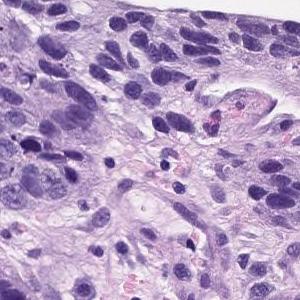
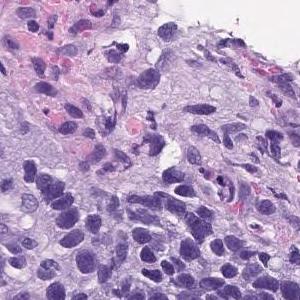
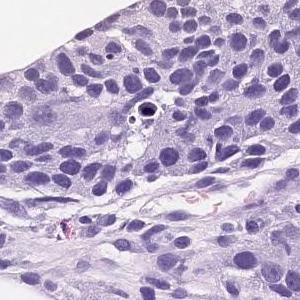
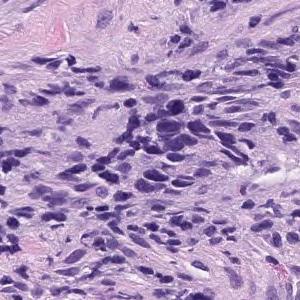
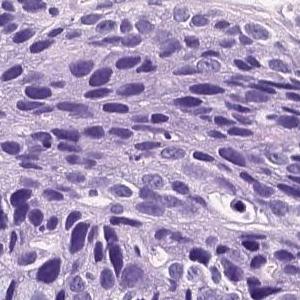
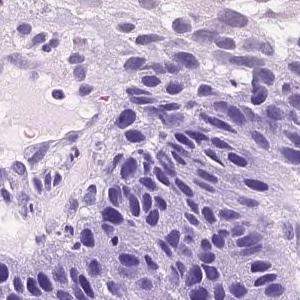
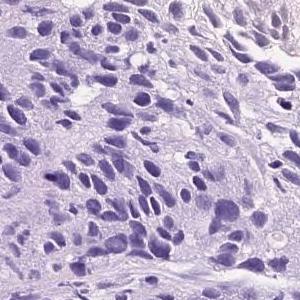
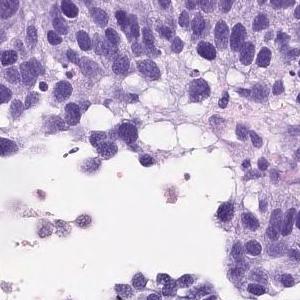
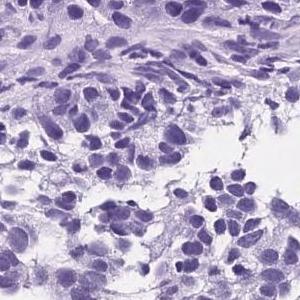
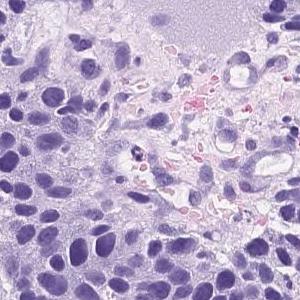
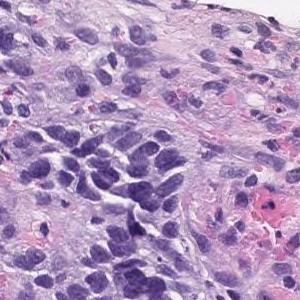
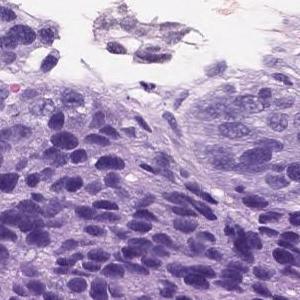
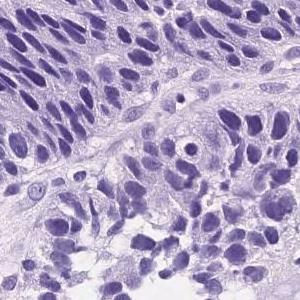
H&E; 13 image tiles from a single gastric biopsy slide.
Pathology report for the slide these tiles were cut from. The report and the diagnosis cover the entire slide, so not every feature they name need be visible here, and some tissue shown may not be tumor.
Atypical cells with atypical nuclei forming small irregular atypical ducts and growing in a conformative manner. moderately differentiated tubular adenocarcinoma
The dataset labels this slide moderately to poorly differentiated adenocarcinoma.
